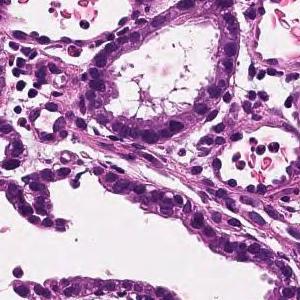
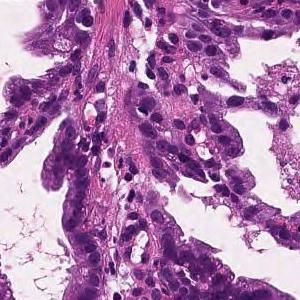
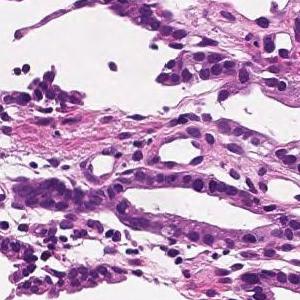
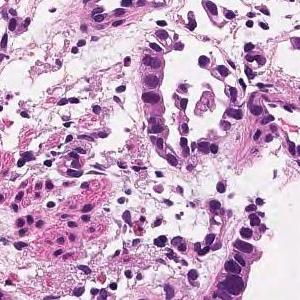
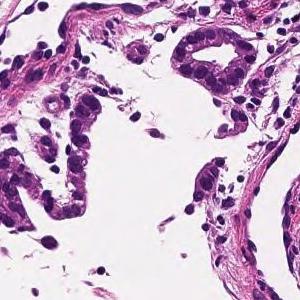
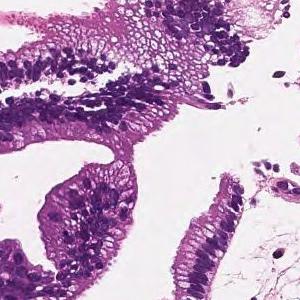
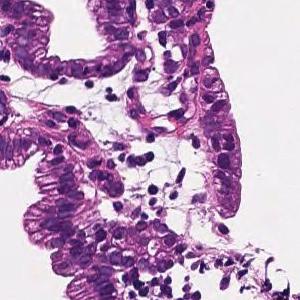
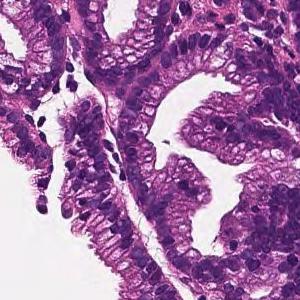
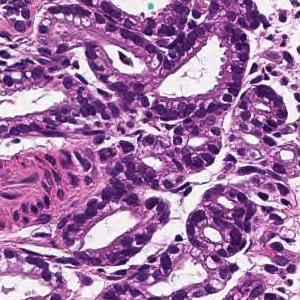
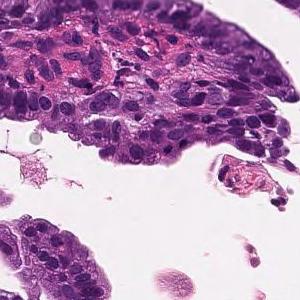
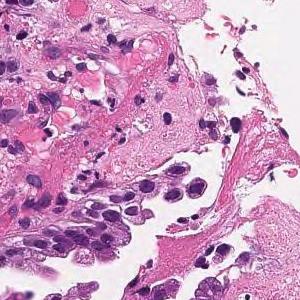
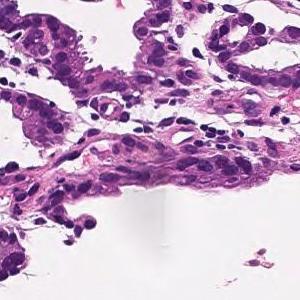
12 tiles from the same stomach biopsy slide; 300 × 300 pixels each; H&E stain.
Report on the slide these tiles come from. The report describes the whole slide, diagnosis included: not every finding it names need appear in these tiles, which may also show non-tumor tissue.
On the superficial epithelium, tumor tissue that infiltrates by forming medium-sized papillary or small irregular ducts is observed. Papillary adenocarcinoma
